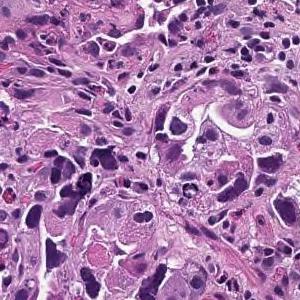
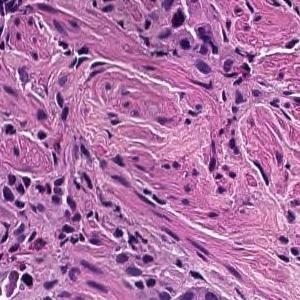
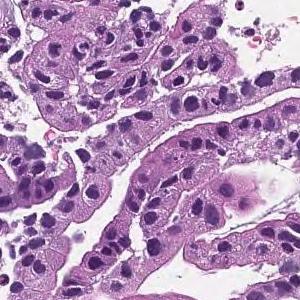
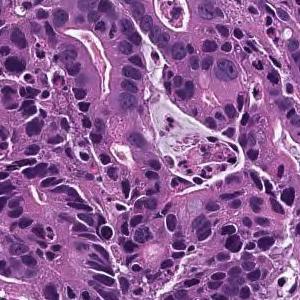
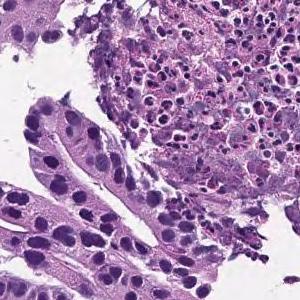
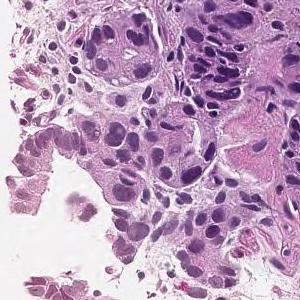
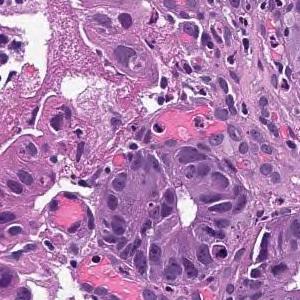
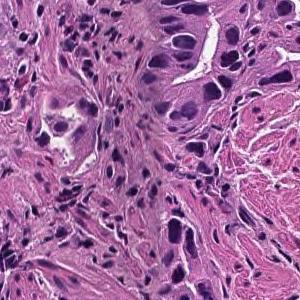
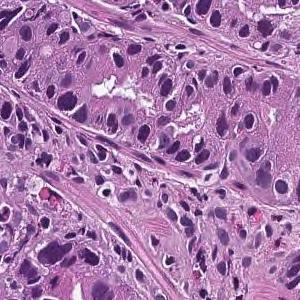
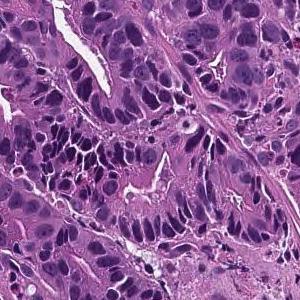
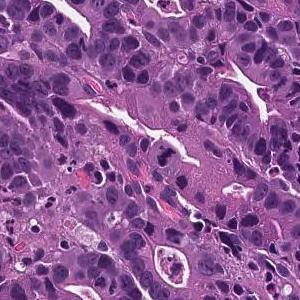
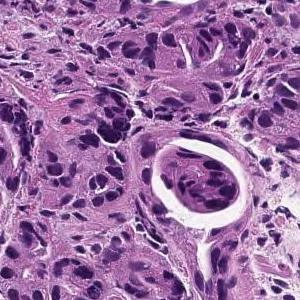
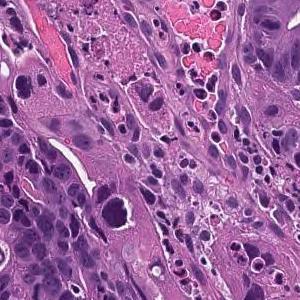
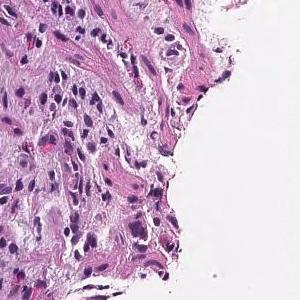
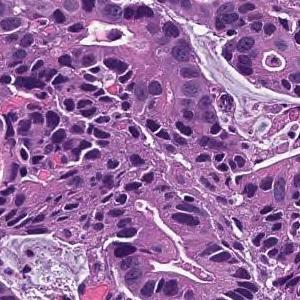
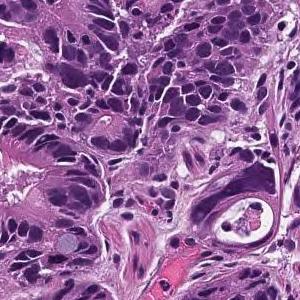
Scanned at ×20 · 16 tiles cut from one stomach biopsy slide · 300 × 300 pixels each.
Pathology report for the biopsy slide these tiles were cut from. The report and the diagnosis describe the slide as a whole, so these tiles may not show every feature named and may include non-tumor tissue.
In the superficial epithelium, tumor tissue that invades by forming medium-sized to small, irregular ducts is observed. moderately differentiated tubular adenocarcinoma.
